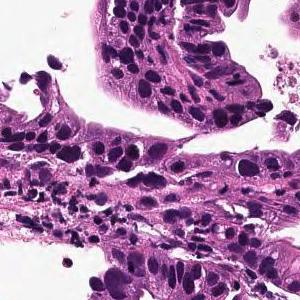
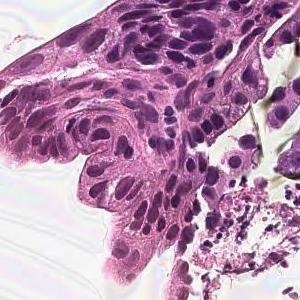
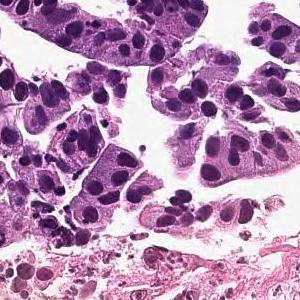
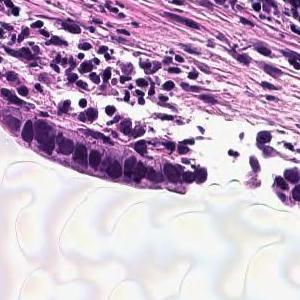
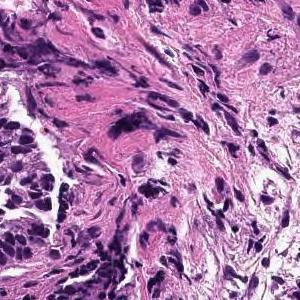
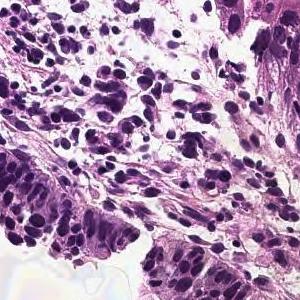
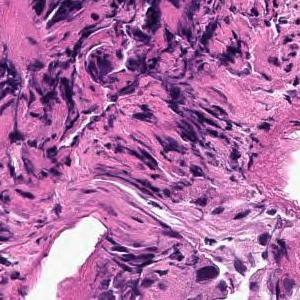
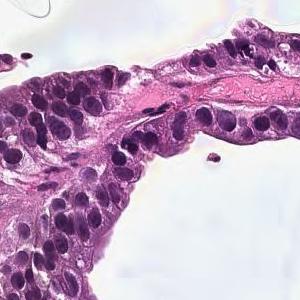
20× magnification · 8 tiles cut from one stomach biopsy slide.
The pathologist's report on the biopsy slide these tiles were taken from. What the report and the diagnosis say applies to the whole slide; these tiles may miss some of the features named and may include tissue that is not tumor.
On the superficial epithelium, tumor tissue that infiltrates by forming medium-sized papillary or small irregular ducts is observed. Papillary adenocarcinoma
